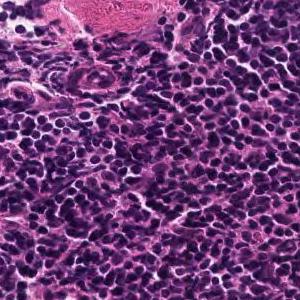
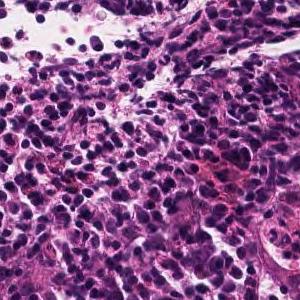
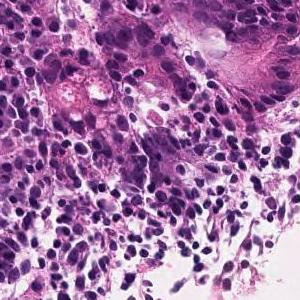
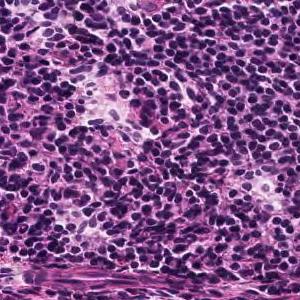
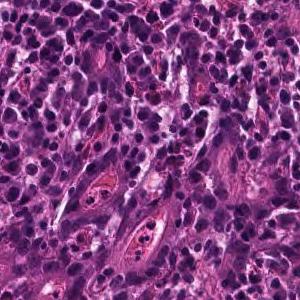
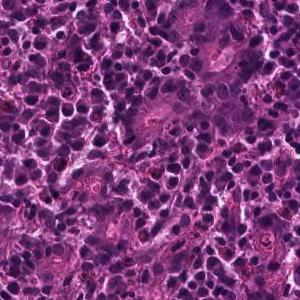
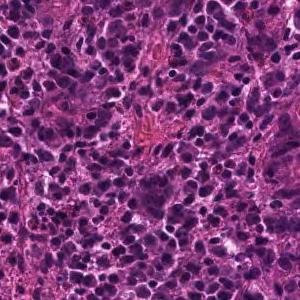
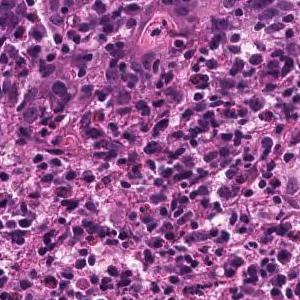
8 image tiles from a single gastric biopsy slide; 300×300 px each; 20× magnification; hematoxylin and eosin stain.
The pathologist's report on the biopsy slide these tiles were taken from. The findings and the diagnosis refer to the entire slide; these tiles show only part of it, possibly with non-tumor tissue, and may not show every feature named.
Tumor tissue consisting of medium-sized, cord-like or irregular glandular infiltration is observed in the superficial epithelium. Poorly differentiated adenocarcinoma, non-solid type or moderately differentiated tubular adenocarcinoma
The dataset labels this slide poorly differentiated adenocarcinoma, non-solid type.
The non-solid type named here is a Japanese Classification of Gastric Carcinoma category.
